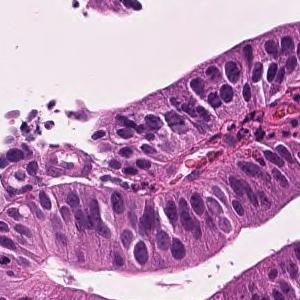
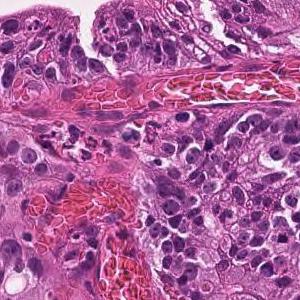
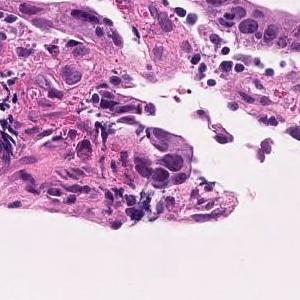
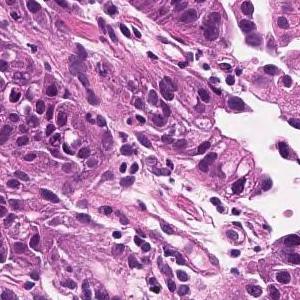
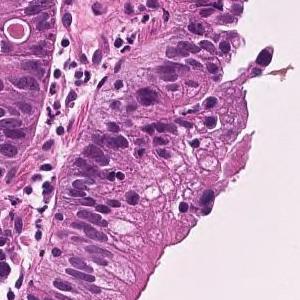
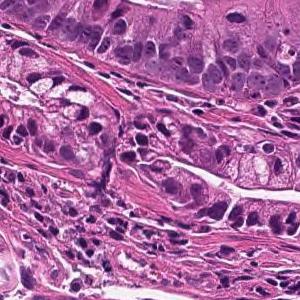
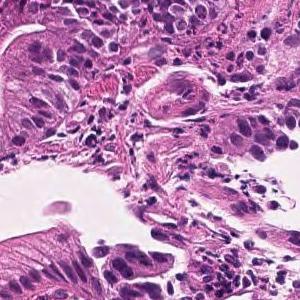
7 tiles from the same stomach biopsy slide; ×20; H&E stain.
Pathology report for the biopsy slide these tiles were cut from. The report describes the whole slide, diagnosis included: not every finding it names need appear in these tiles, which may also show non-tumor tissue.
Tumor cells are large, highly columnar, large club-shaped nuclei, and are associated with chromatin aggregation. Papillary adenocarcinoma.
